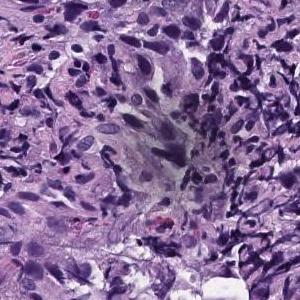
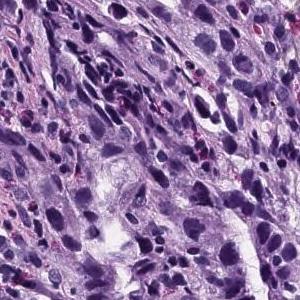
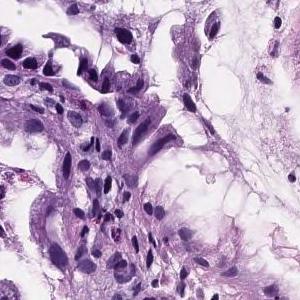
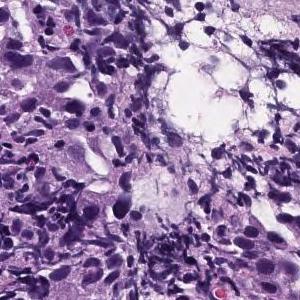
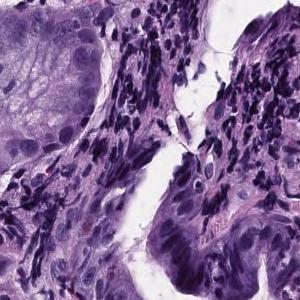
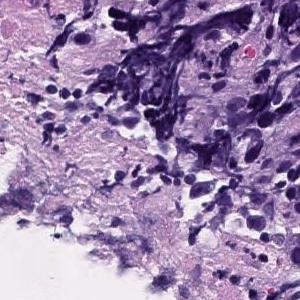
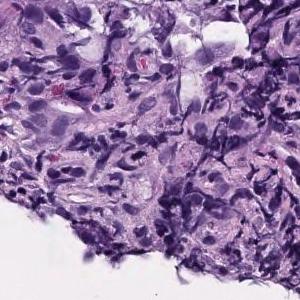
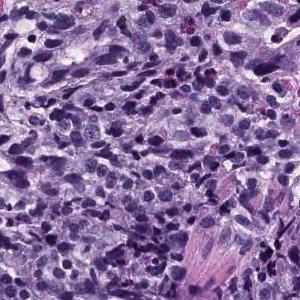
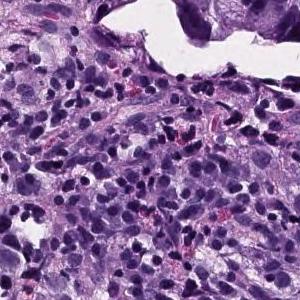
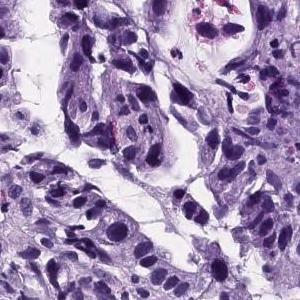
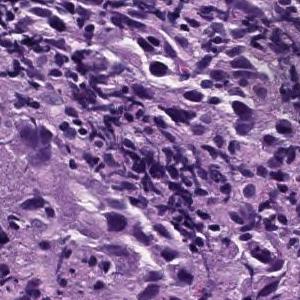
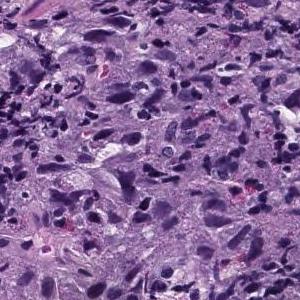
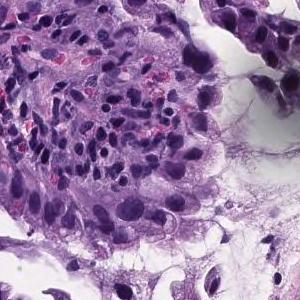
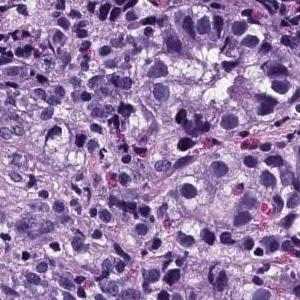
14 tiles from the same stomach biopsy slide; 300 × 300 pixels each; hematoxylin and eosin stain; scanned at ×20.
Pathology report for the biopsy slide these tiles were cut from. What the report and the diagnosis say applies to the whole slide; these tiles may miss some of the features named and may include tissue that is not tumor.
Atypical epithelial cells infiltrating and proliferating while forming solid or cord-like fused glandular cavities of different sizes is observed. moderately differentiated tubular adenocarcinoma, poorly differentiated adenocarcinoma.
Classified as moderately to poorly differentiated adenocarcinoma.
